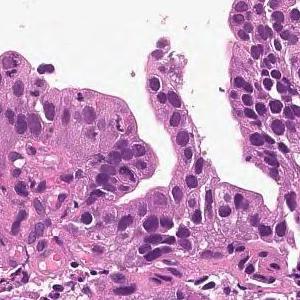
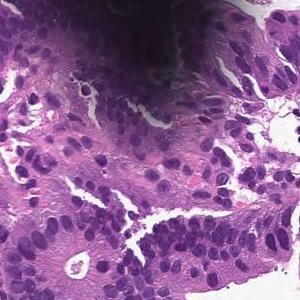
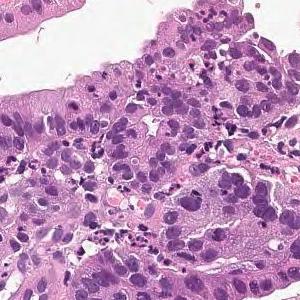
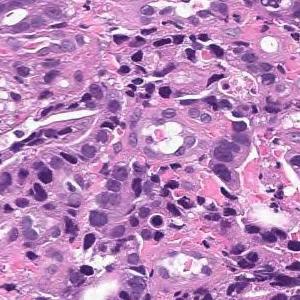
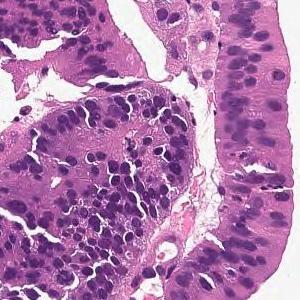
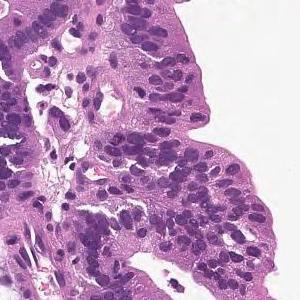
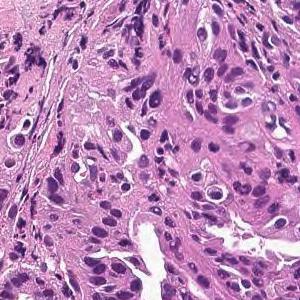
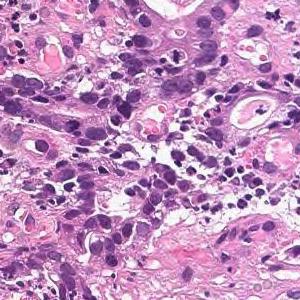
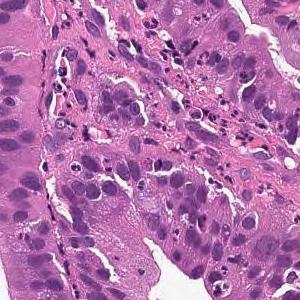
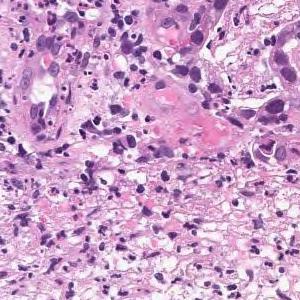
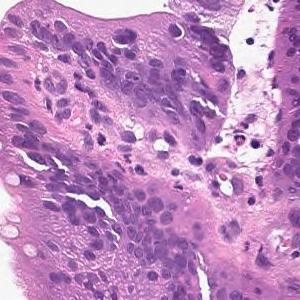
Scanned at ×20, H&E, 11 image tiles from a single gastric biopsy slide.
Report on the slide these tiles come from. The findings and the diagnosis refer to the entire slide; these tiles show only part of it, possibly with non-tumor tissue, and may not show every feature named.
From the superficial epithelium to the muscularis mucosae, tumor tissue consisting of medium-sized and irregular glandular ducts infiltrating is observed. Well differentiated tubular adenocarcinoma
